Scanned at ×20, 8 patches cut from one gastric biopsy slide, each 300 × 300 pixels.
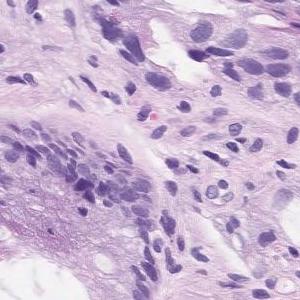
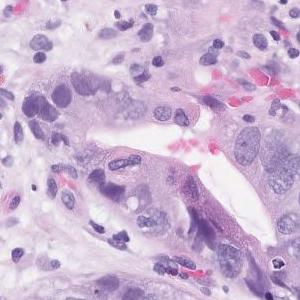
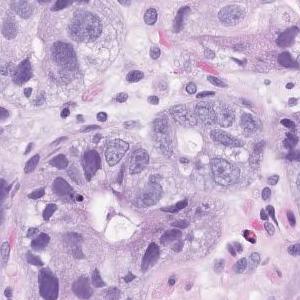
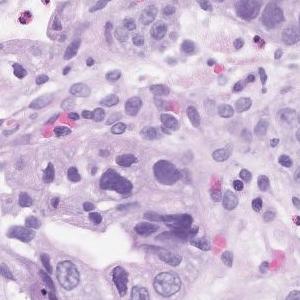
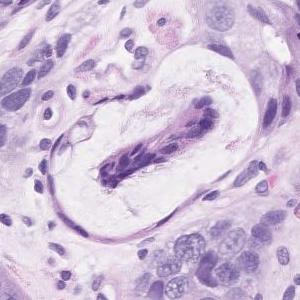
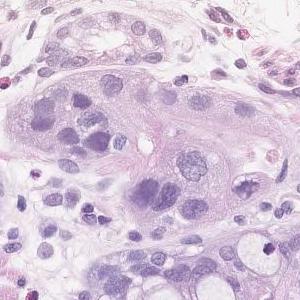
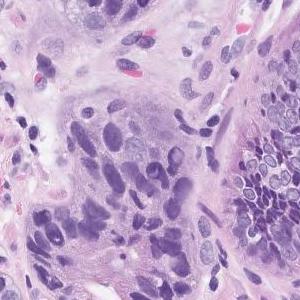
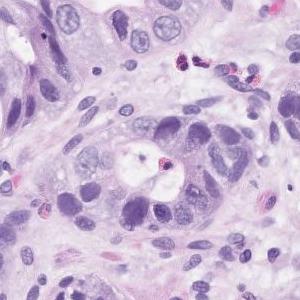
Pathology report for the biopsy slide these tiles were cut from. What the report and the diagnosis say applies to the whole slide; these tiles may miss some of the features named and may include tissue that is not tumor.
Atypical l cells with atypical nuclei forming solid or diffuse vesicles or small irregular atypical ducts and growing in a complex manner. moderately differentiated tubular adenocarcinoma
